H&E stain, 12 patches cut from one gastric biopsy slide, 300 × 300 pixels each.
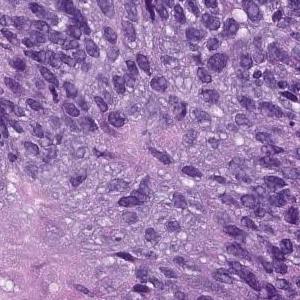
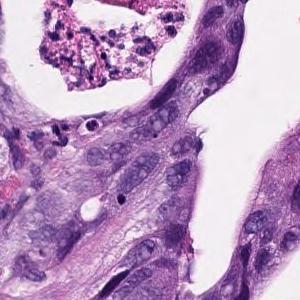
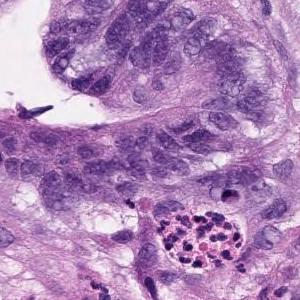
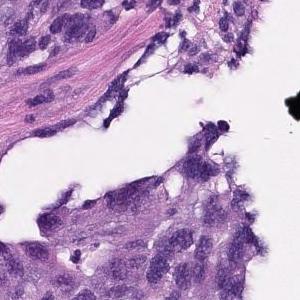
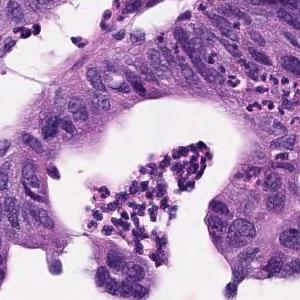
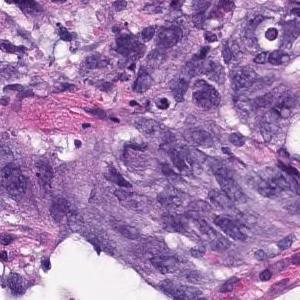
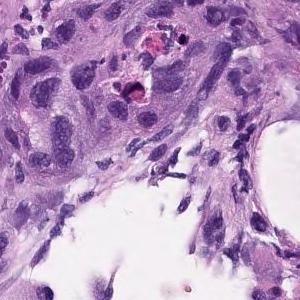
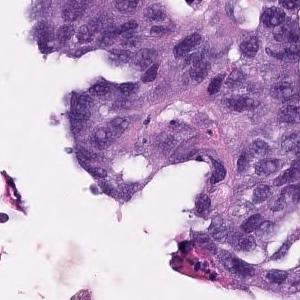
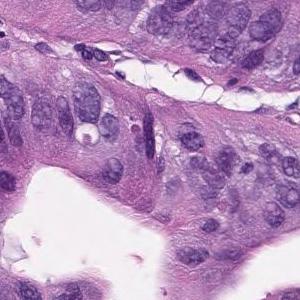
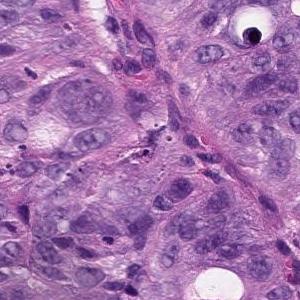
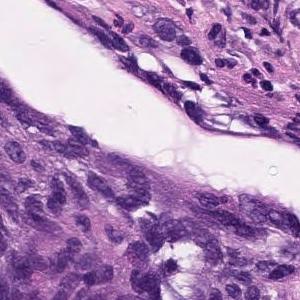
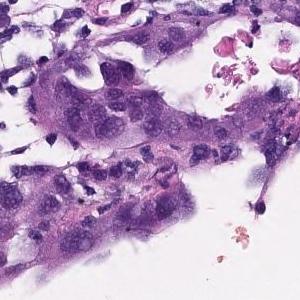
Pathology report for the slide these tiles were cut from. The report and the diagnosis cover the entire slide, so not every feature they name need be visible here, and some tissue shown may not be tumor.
In the superficial epithelium, tumor tissue that invades by forming medium-sized to small, irregular ducts is observed. Moderately differentiated adenocarcinoma.
Classified as moderately differentiated tubular adenocarcinoma.
